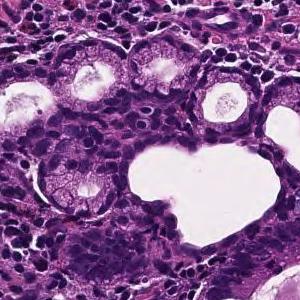
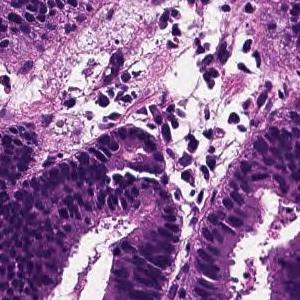
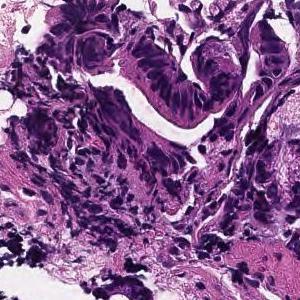
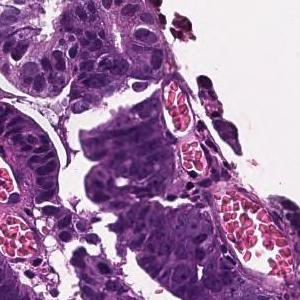
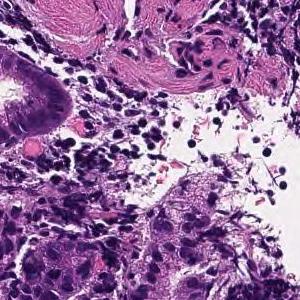
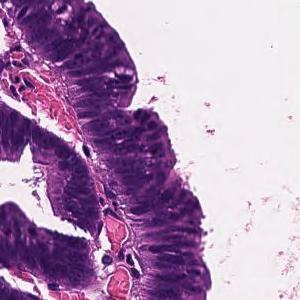
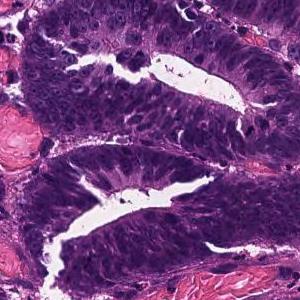
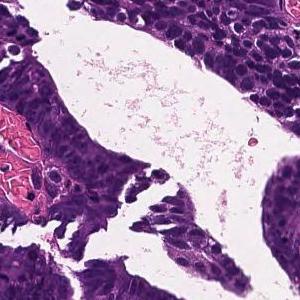
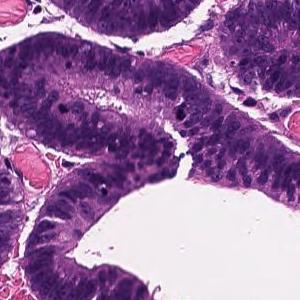
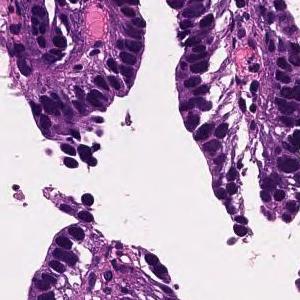
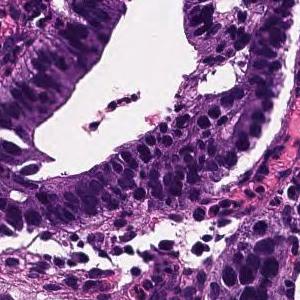
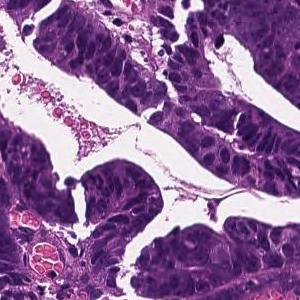
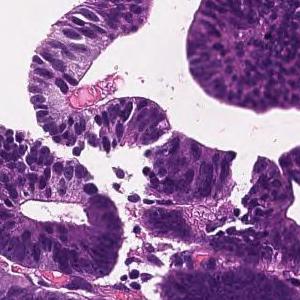
H&E · 13 tiles cut from one stomach biopsy slide.
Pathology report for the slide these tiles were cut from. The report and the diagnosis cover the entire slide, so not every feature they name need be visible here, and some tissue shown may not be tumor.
Tumor tissue consisting of large papillary structures is found in the superficial epithelium. Papillary adenocarcinoma.
